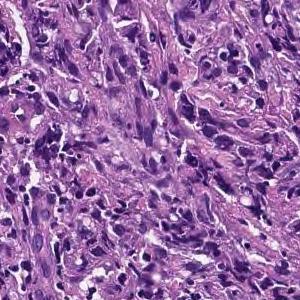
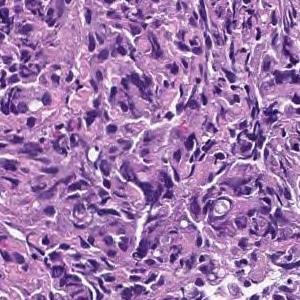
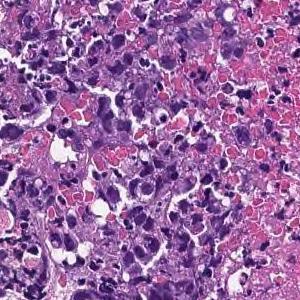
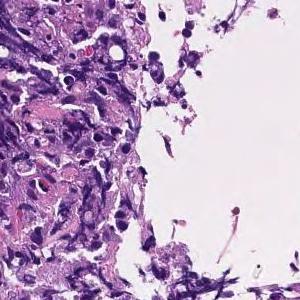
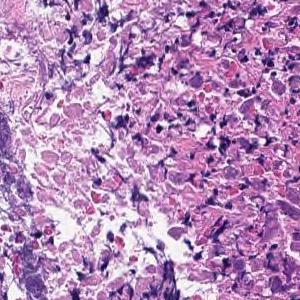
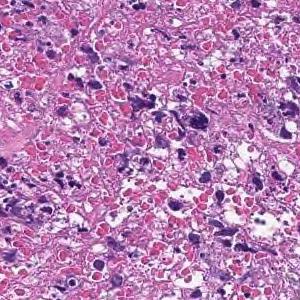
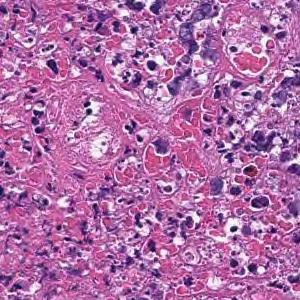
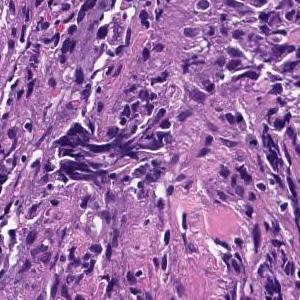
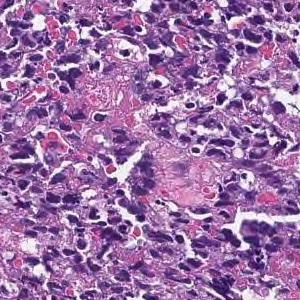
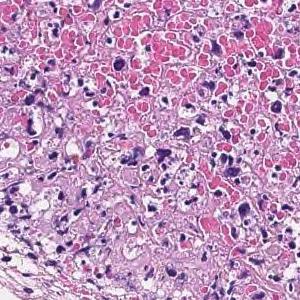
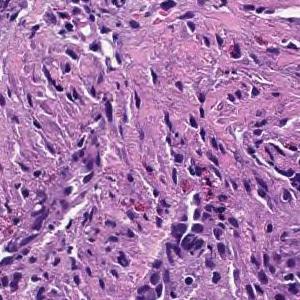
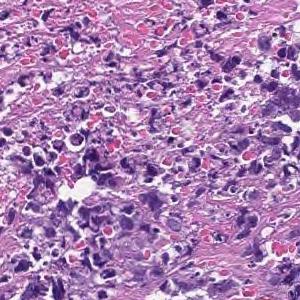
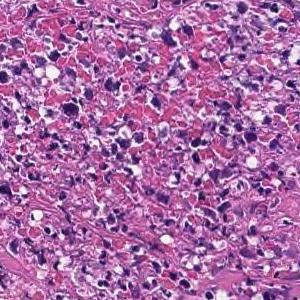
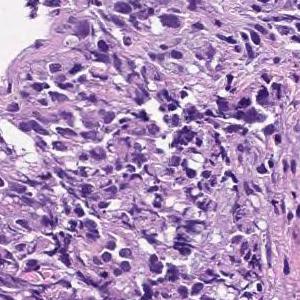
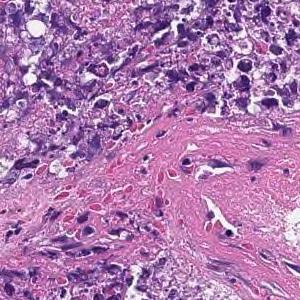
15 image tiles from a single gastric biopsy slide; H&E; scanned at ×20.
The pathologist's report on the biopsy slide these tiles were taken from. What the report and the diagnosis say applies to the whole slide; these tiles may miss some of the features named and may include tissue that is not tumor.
Most are composed of coagulative necrotic tissue, but some show a large sheet-like shape, and some show tumor tissue infiltrating with a small cord-like structure. Poorly differentiated adenocarcinoma, solid-type
Subtype: Poorly differentiated adenocarcinoma, solid type. This name comes from the Japanese Classification of Gastric Carcinoma; the WHO 2019 classification calls it tubular adenocarcinoma, poorly differentiated.
